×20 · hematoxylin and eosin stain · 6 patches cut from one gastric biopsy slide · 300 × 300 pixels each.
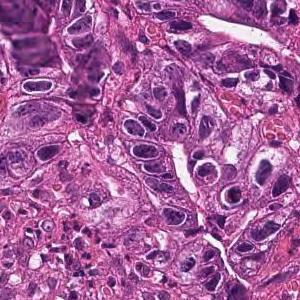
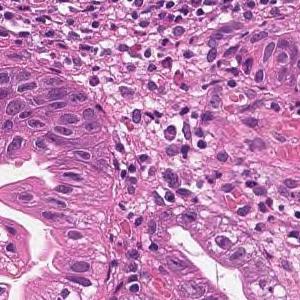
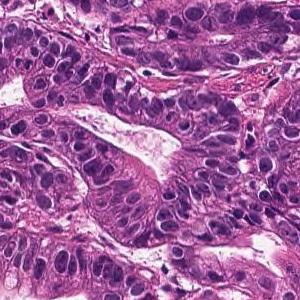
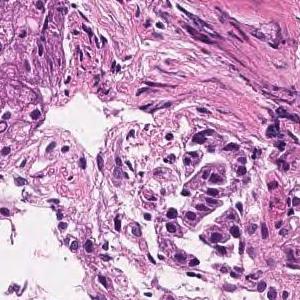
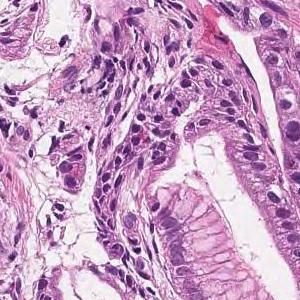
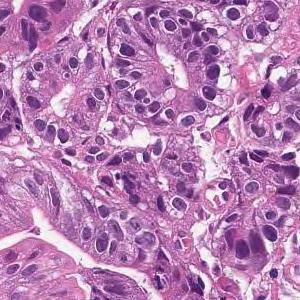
Diagnostic report for the slide these tiles come from. What the report and the diagnosis say applies to the whole slide; these tiles may miss some of the features named and may include tissue that is not tumor.
In the superficial epithelium, tumor tissue that invades by forming medium-sized to small, irregular ducts is observed. Well differentiated tubular adenocarcinoma.
